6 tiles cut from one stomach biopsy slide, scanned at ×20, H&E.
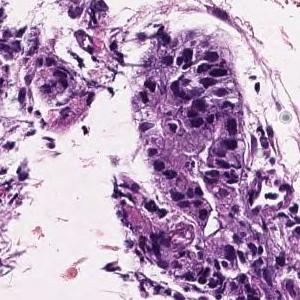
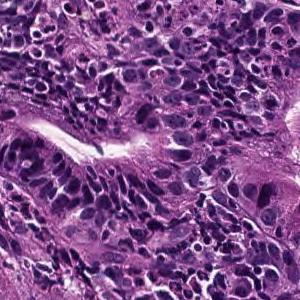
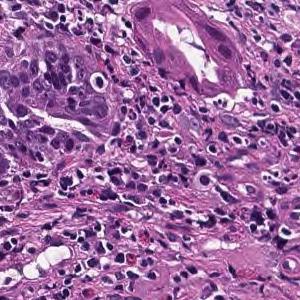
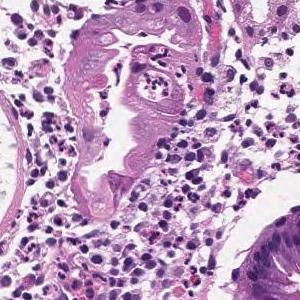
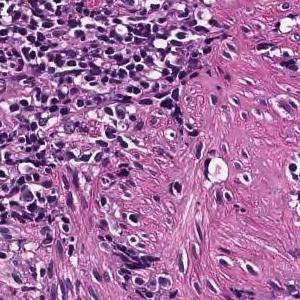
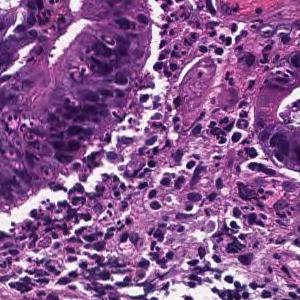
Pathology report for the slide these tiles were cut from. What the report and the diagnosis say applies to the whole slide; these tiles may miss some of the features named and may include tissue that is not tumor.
On the superficial epithelium, tumor tissue consisting of large, irregular glandular ducts partially fused and infiltrated is observed. Well to moderately differentiated tubular adenocarcinoma (well differentiated tubular adenocarcinoma, moderately differentiated tubular adenocarcinoma)
Histological subtype: Well to moderately differentiated tubular adenocarcinoma.
